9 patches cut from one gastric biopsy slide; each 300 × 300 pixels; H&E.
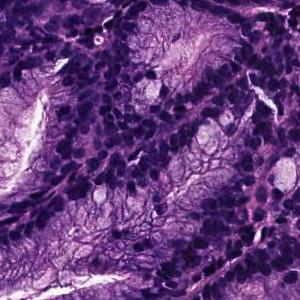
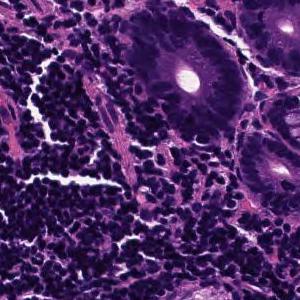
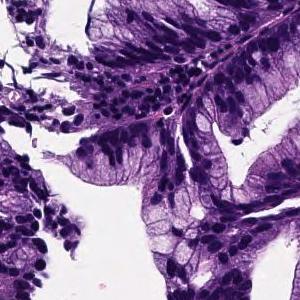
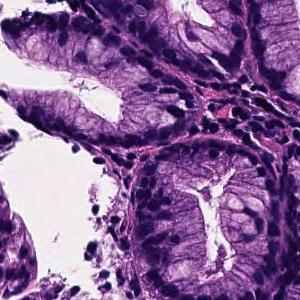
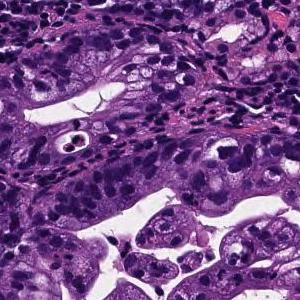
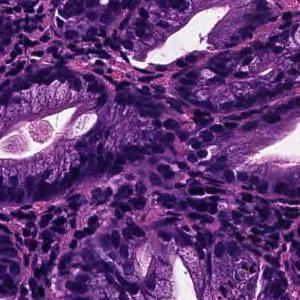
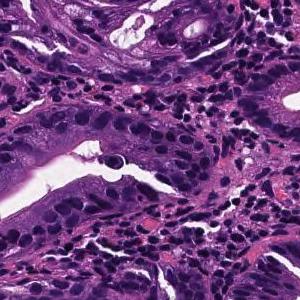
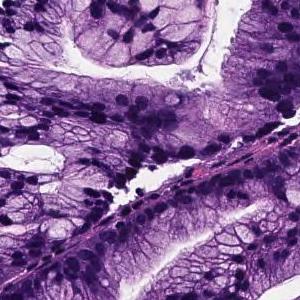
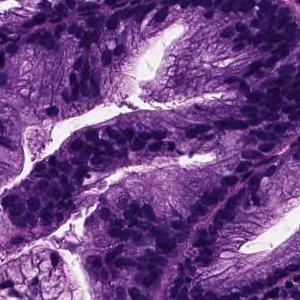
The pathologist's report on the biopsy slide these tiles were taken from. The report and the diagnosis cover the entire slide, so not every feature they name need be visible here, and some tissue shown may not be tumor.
On the superficial epithelium, tumor tissue that infiltrates by forming medium-sized papillary or small irregular ducts is observed. Papillary adenocarcinoma
